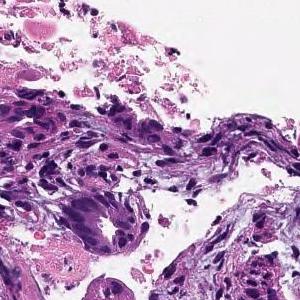
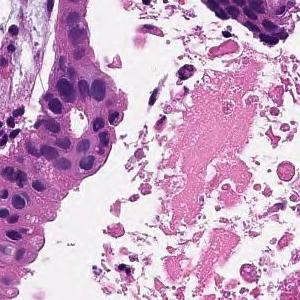
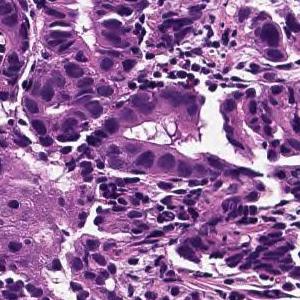
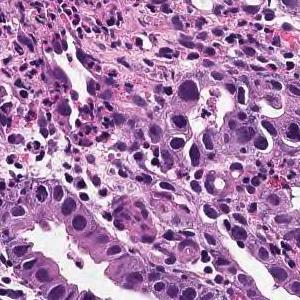
H&E stain, 20× magnification, 4 tiles from the same stomach biopsy slide, each 300 × 300 pixels.
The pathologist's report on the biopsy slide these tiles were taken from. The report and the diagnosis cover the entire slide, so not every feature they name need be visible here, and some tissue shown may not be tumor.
In the superficial epithelium, tumor tissue that invades by forming medium-sized to small, irregular ducts is observed. moderately differentiated tubular adenocarcinoma.
